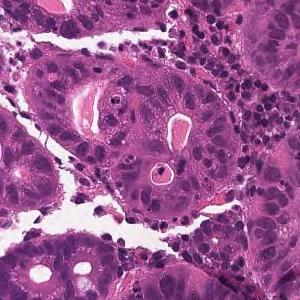
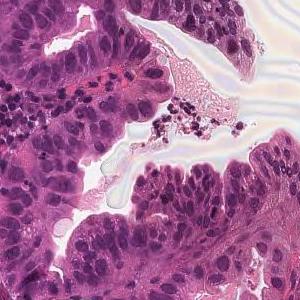
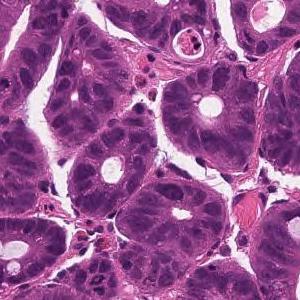
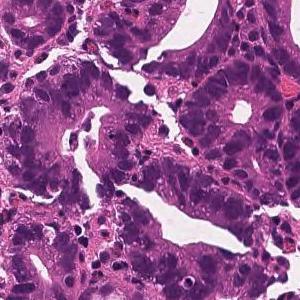
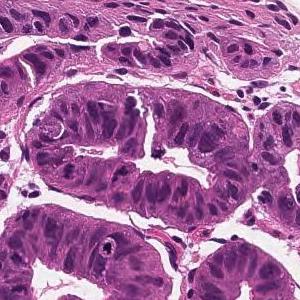
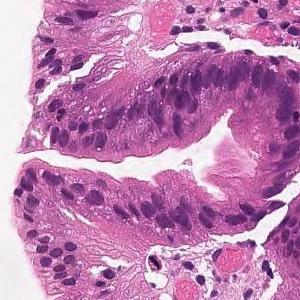
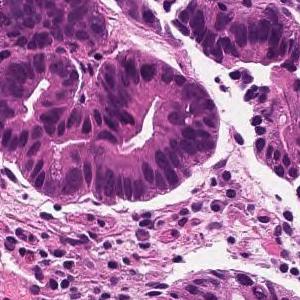
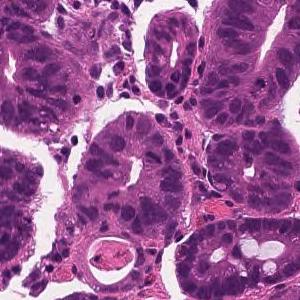
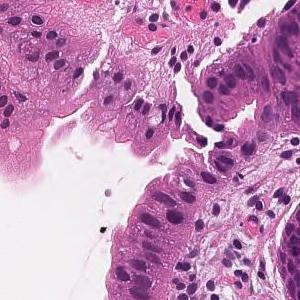
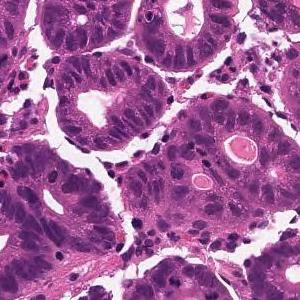
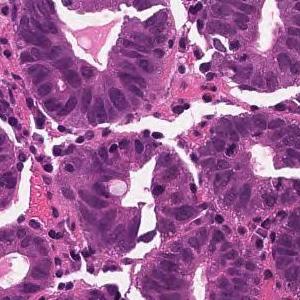
11 tiles from the same stomach biopsy slide; 300×300 px each; scanned at ×20; hematoxylin and eosin stain.
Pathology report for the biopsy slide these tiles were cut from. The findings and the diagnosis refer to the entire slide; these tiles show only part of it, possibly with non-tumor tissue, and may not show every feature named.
From the superficial epithelium to the muscularis mucosae, tumor tissue consisting of medium-sized and irregular glandular ducts infiltrating is observed. Well differentiated tubular adenocarcinoma
